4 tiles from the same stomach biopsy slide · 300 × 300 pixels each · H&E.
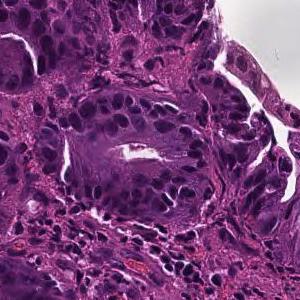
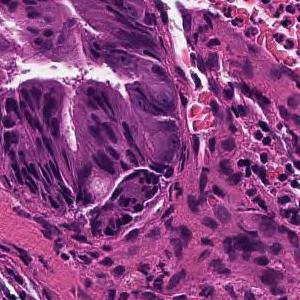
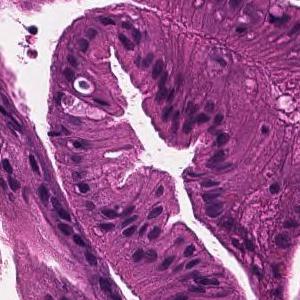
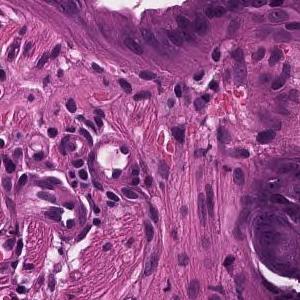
Report on the slide these tiles come from. The report and the diagnosis cover the entire slide, so not every feature they name need be visible here, and some tissue shown may not be tumor.
Tumor cells are large, highly columnar, large club-shaped nuclei, and are associated with chromatin aggregation. Papillary adenocarcinoma.
